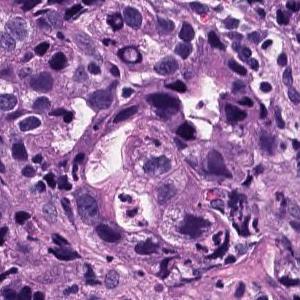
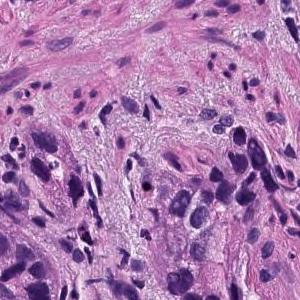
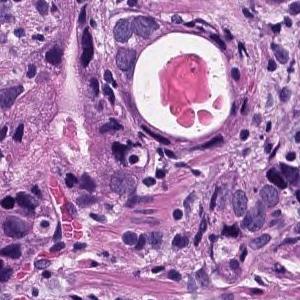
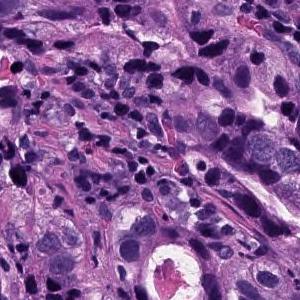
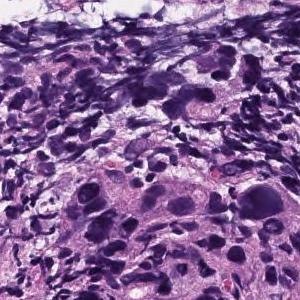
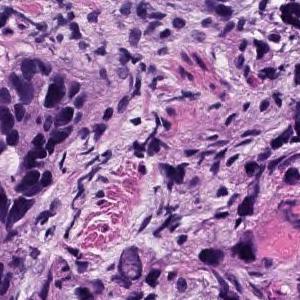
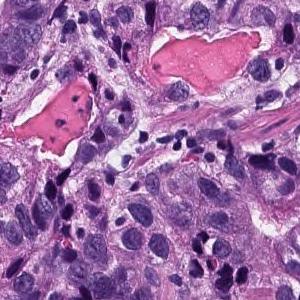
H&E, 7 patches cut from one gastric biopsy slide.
Pathology report for the biopsy slide these tiles were cut from. The findings and the diagnosis refer to the entire slide; these tiles show only part of it, possibly with non-tumor tissue, and may not show every feature named.
In the epithelium, tumor tissue in which medium to small irregular gland ducts fuse with each other and infiltrate the submucosa. moderately differentiated tubular adenocarcinoma
